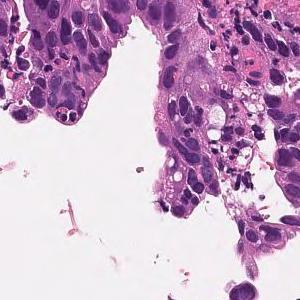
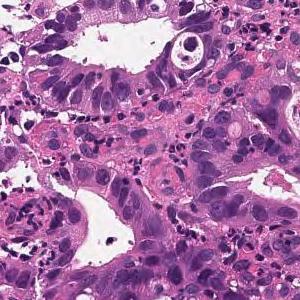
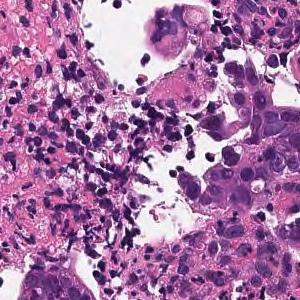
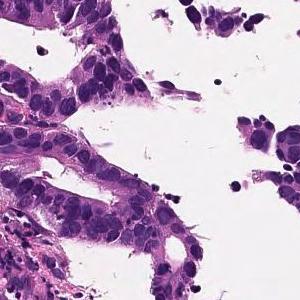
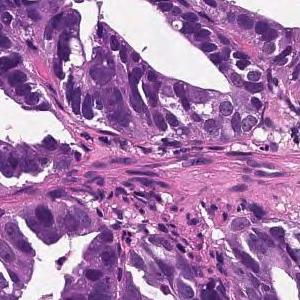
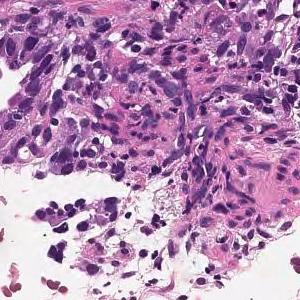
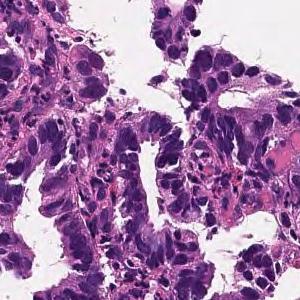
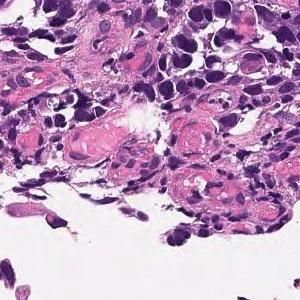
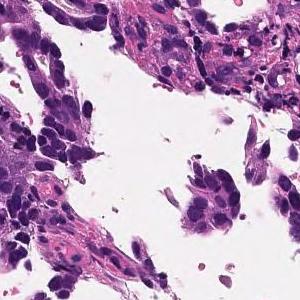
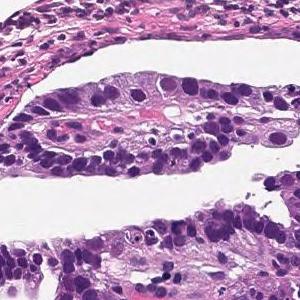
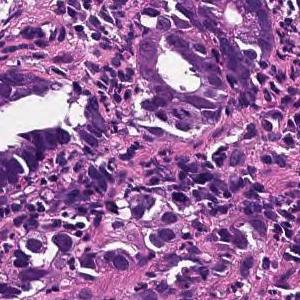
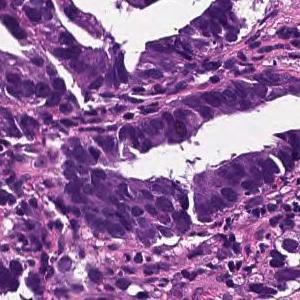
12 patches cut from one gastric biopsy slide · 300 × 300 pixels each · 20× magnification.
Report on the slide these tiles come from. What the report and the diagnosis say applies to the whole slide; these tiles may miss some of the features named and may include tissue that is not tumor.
Tumor cells are large, highly columnar, large club-shaped nuclei, and are associated with chromatin aggregation. Papillary adenocarcinoma.
